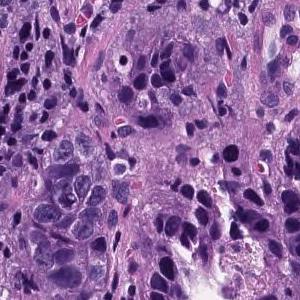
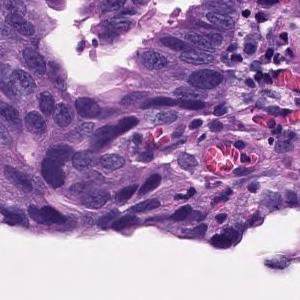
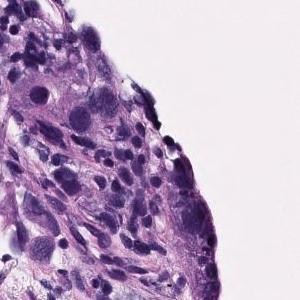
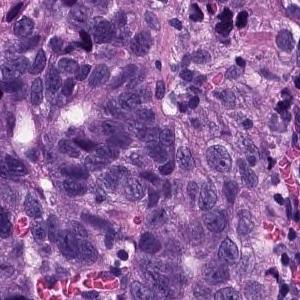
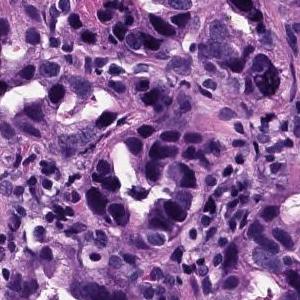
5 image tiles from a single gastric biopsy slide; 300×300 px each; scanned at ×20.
The pathologist's report on the biopsy slide these tiles were taken from. What the report and the diagnosis say applies to the whole slide; these tiles may miss some of the features named and may include tissue that is not tumor.
In the epithelium, tumor tissue in which medium to small irregular gland ducts fuse with each other and infiltrate the submucosa. moderately differentiated tubular adenocarcinoma
